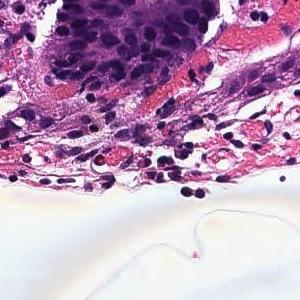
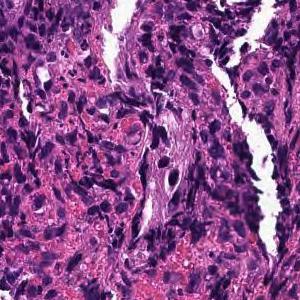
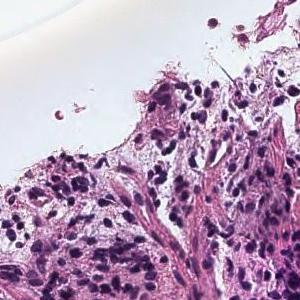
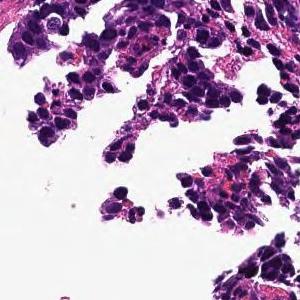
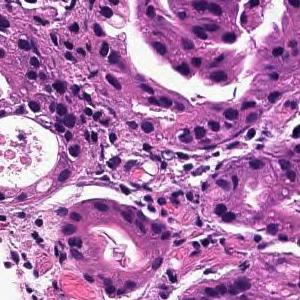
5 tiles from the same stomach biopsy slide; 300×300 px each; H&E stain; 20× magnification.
Report on the slide these tiles come from. Both the report and the diagnosis are for the whole slide: these tiles need not show every feature named, and some of the tissue shown may not be tumor.
In the superficial epithelium, tumor tissue that invades by forming medium-sized to small, irregular ducts is observed. moderately differentiated tubular adenocarcinoma.
